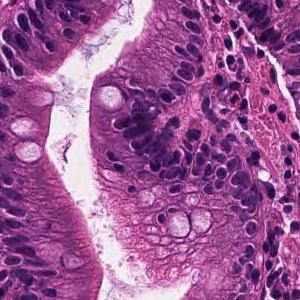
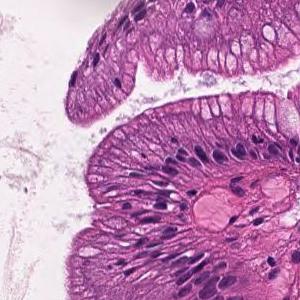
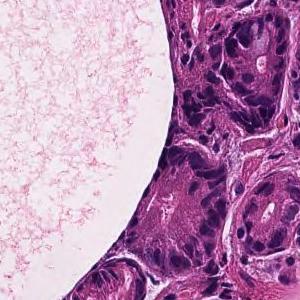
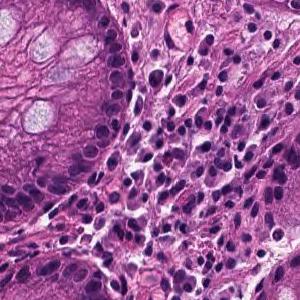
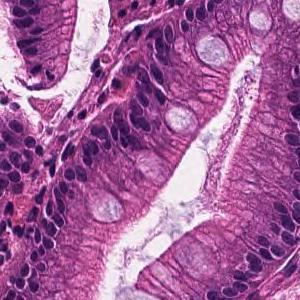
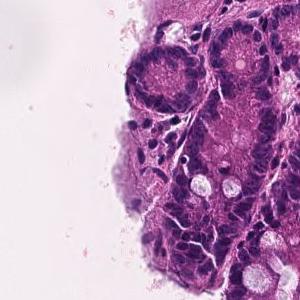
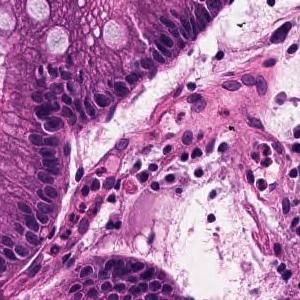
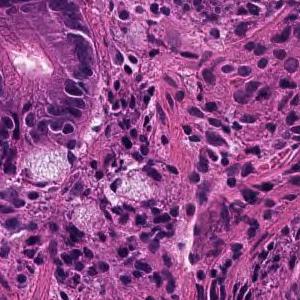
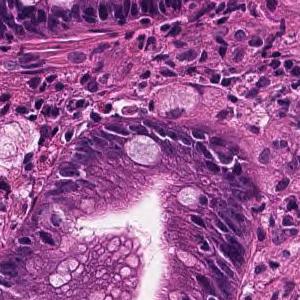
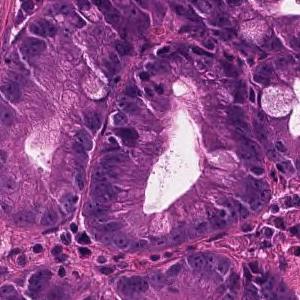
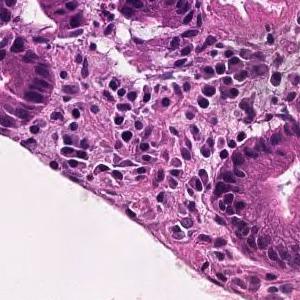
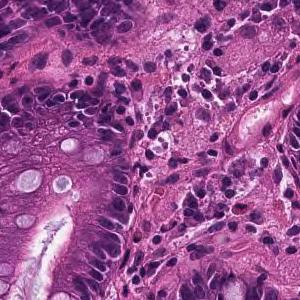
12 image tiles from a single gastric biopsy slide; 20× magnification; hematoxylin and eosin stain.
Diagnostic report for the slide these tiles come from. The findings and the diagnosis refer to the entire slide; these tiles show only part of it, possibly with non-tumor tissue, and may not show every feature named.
Medium to small, irregular glandular ducts are formed in the superficial epithelium, and in some cases, the glandular ducts are fused to show solid alveolar lesions and infiltrating tumor tissue is observed. Moderately to poorly differentiated adenocarcinoma.
